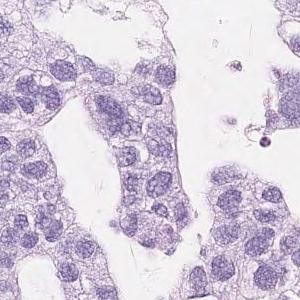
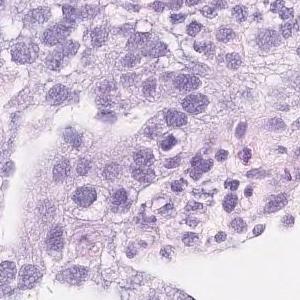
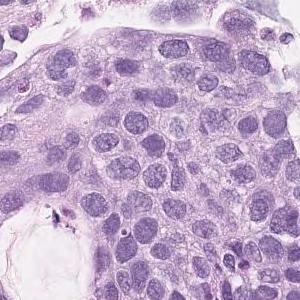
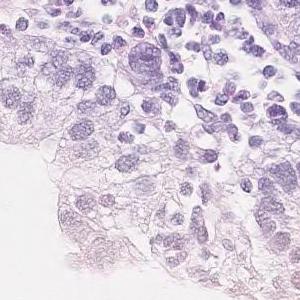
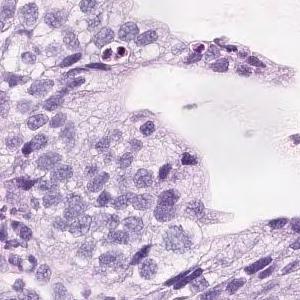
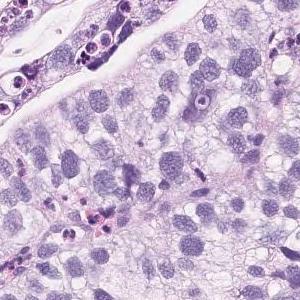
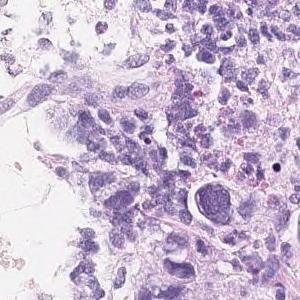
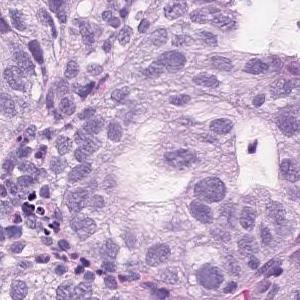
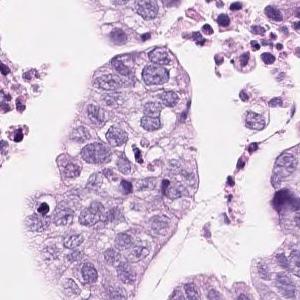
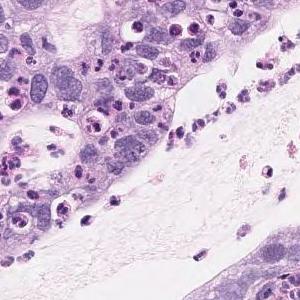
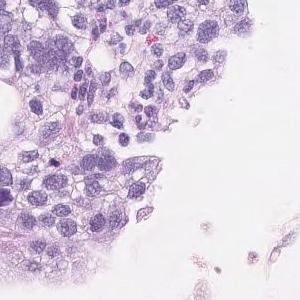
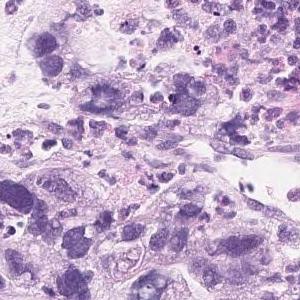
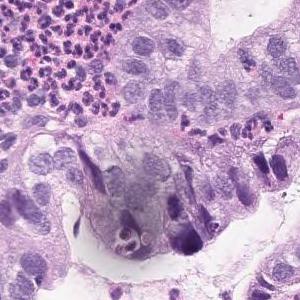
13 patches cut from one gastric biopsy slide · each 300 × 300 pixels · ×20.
Report on the slide these tiles come from. The report describes the whole slide, diagnosis included: not every finding it names need appear in these tiles, which may also show non-tumor tissue.
On the superficial epithelium, tumor tissue consisting of large, irregular glandular ducts partially fused and infiltrated is observed. Well to moderately differentiated tubular adenocarcinoma (well differentiated tubular adenocarcinoma, moderately differentiated tubular adenocarcinoma)
Subtype: Well to moderately differentiated tubular adenocarcinoma.
